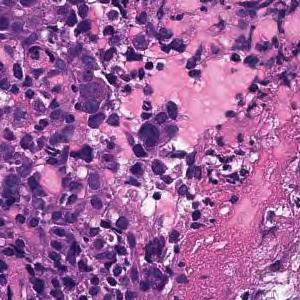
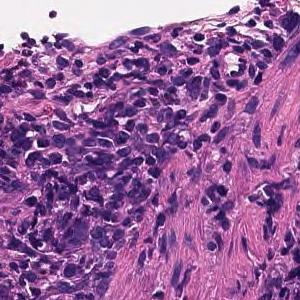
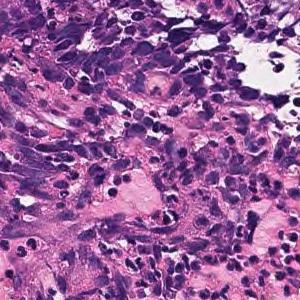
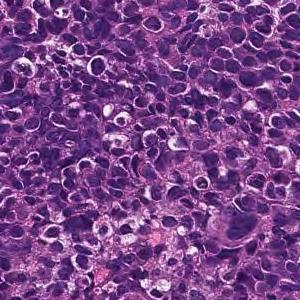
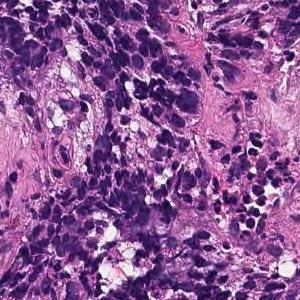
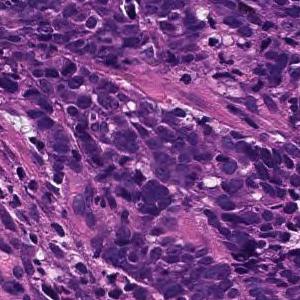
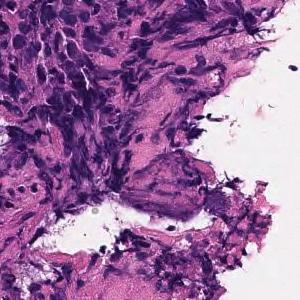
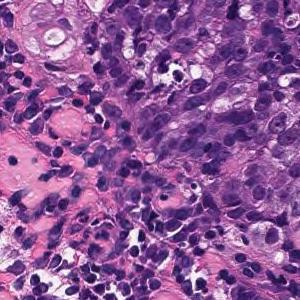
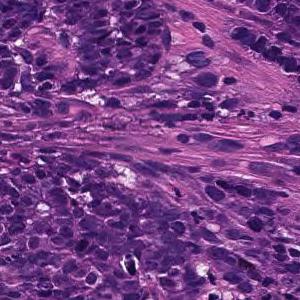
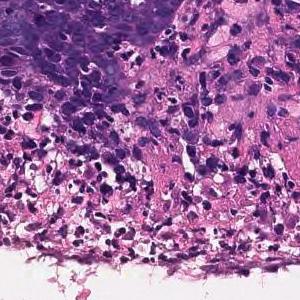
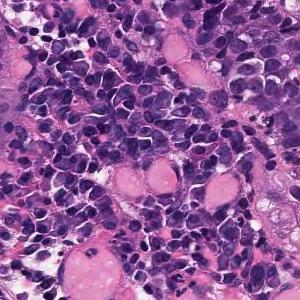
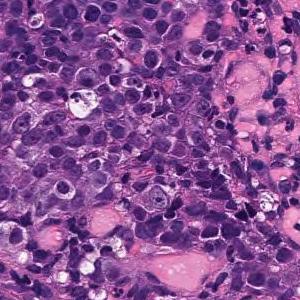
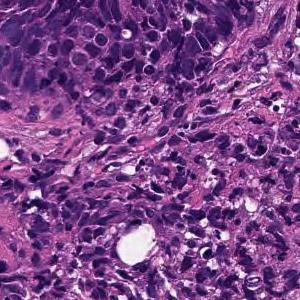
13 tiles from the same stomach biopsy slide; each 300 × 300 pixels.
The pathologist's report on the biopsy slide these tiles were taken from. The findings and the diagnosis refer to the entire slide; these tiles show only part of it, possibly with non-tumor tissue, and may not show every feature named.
Large sheet-like or diffusely infiltrating tumor tissue is found in the superficial epithelium. Poorly differentiated adenocarcinoma, solid-type
Histological subtype: Poorly differentiated adenocarcinoma, solid type, a category of the Japanese Classification of Gastric Carcinoma; in the WHO 2019 classification it is tubular adenocarcinoma, poorly differentiated.
